5 tiles from the same stomach biopsy slide, 20× magnification.
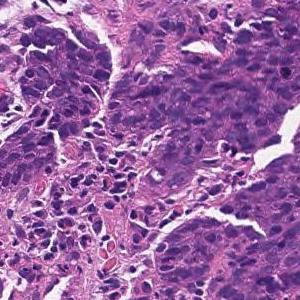
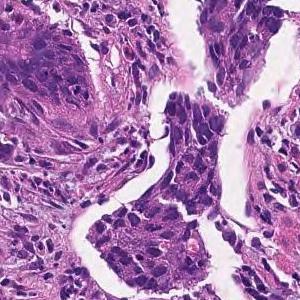
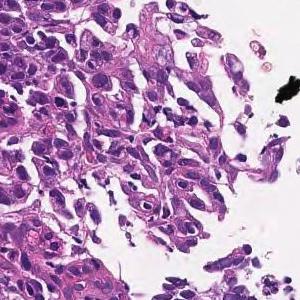
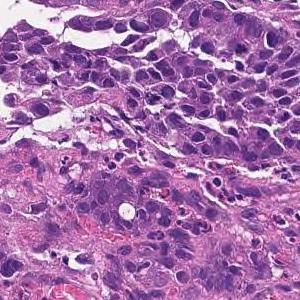
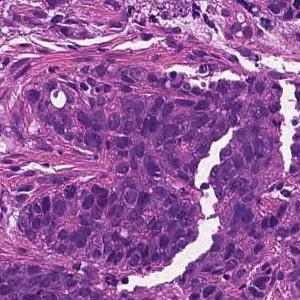
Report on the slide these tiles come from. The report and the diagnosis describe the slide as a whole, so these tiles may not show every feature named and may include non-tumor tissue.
Tumor tissue consisting of cord-like or small, irregular glandular ducts fused and infiltrated is observed in the superficial epithelium. Poorly differentiated adenocarcinoma, non-solid type
The non-solid type named here is a Japanese Classification of Gastric Carcinoma category.
